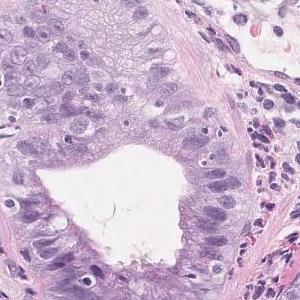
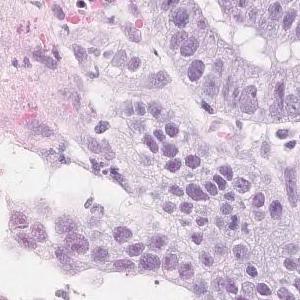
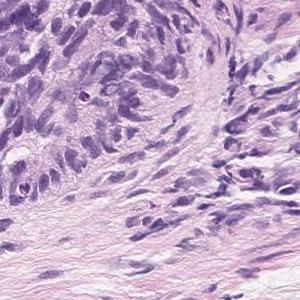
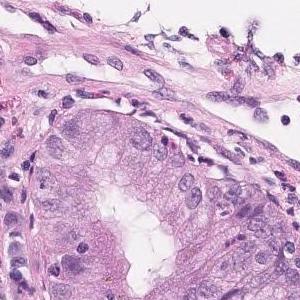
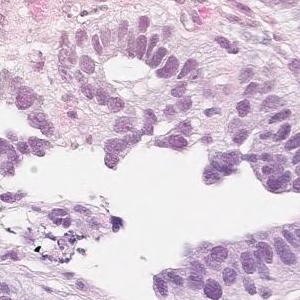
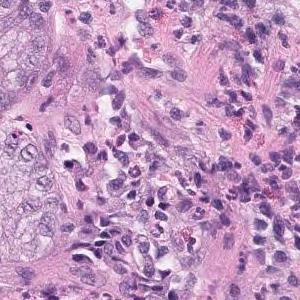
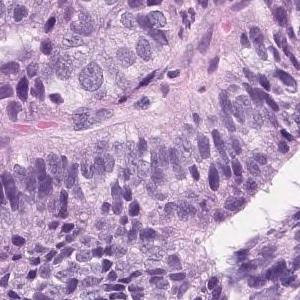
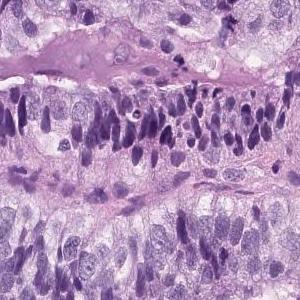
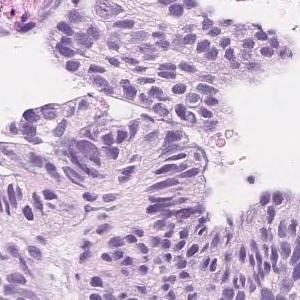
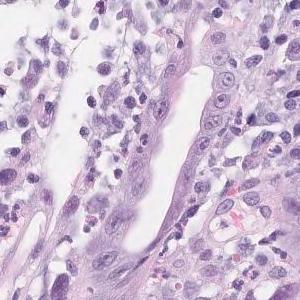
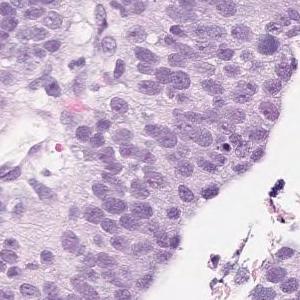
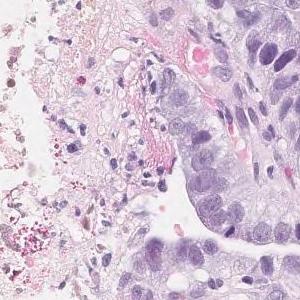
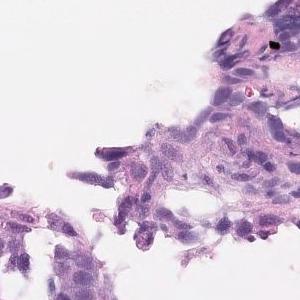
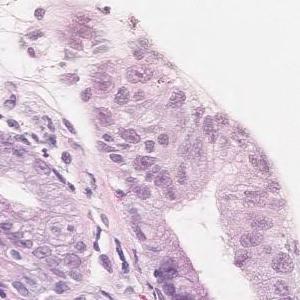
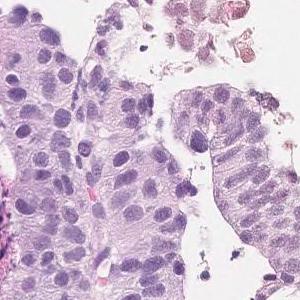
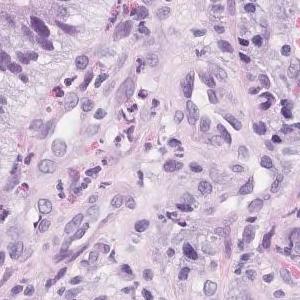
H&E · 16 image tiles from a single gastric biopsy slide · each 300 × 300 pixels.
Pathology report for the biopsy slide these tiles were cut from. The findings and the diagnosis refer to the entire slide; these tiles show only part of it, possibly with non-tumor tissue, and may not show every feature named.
Tumor tissue in which highly columnar atypical epithelial cells with nuclear enlargement and increased nuclear chromatin show papillary to papillary ductal structure and proliferate is observed. Papillary adenocarcinoma.
